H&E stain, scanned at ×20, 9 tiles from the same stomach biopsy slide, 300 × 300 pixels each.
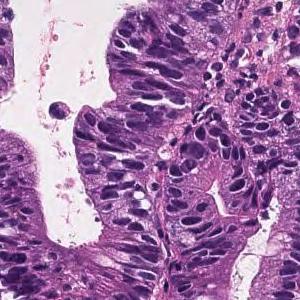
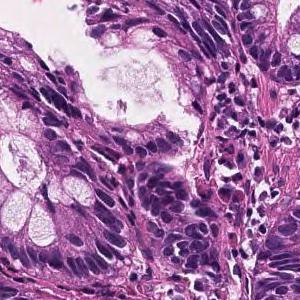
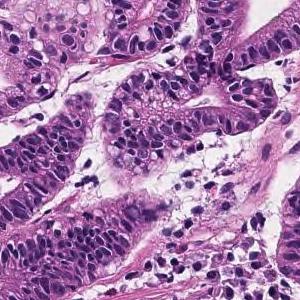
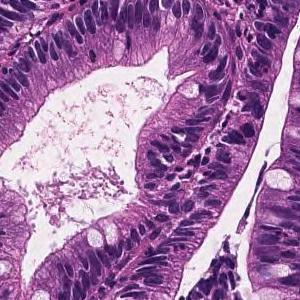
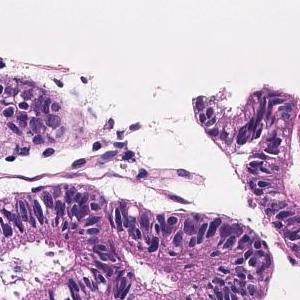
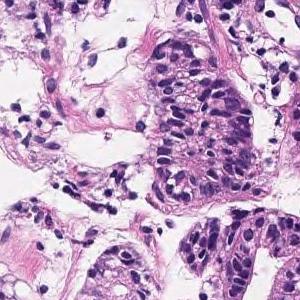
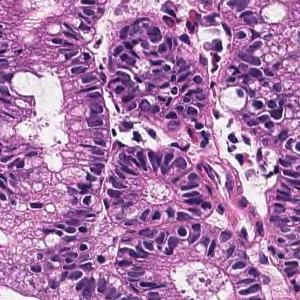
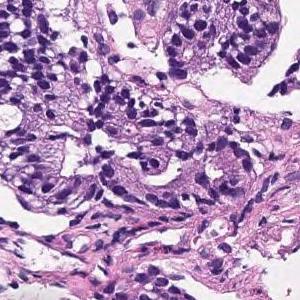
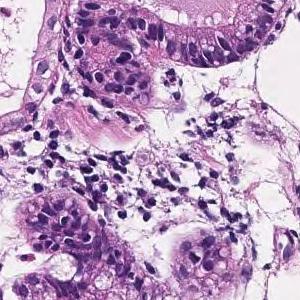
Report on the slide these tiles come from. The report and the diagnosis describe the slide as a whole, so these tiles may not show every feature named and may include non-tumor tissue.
Most remain in the superficial epithelium, forming medium-sized papillary or small irregular ducts and proliferating, and some tumor tissue invades the muscularis mucosae. Papillary adenocarcinoma
